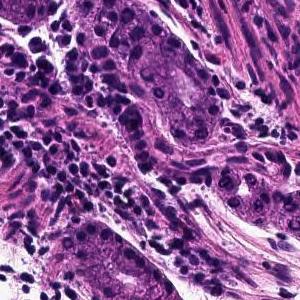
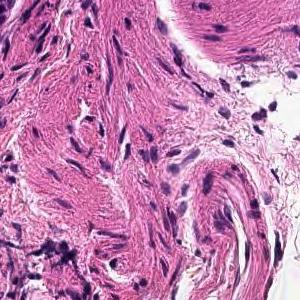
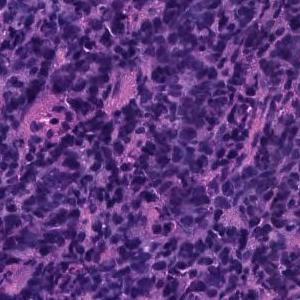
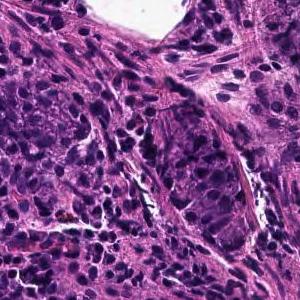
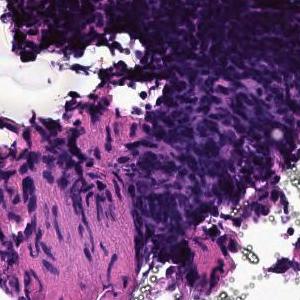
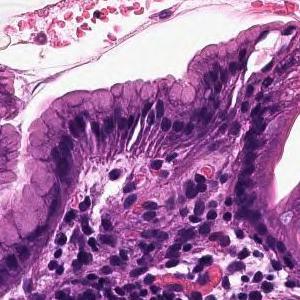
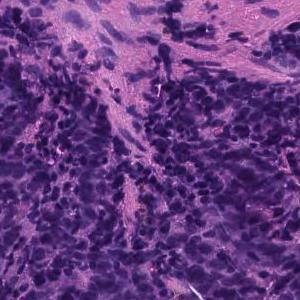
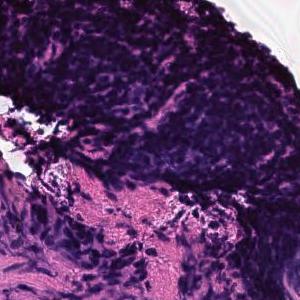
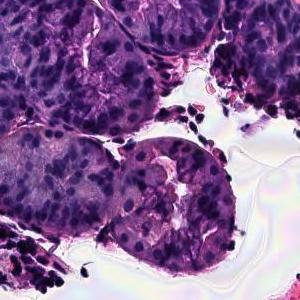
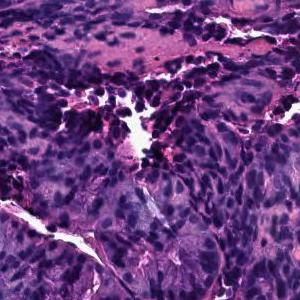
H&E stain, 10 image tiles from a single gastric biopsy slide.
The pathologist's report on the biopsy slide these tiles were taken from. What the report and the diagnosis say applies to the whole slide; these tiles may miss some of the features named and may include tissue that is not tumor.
The superficial epithelium shows a large sheet-like shape, and some tumor tissue infiltrates with small irregular ducts. Poorly differentiated adenocarcinoma, solid-type
Subtype: Poorly differentiated adenocarcinoma, solid type, a category of the Japanese Classification of Gastric Carcinoma; in the WHO 2019 classification it is tubular adenocarcinoma, poorly differentiated.
